10 patches cut from one gastric biopsy slide · ×20.
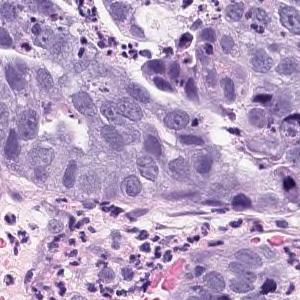
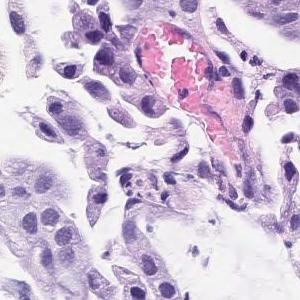
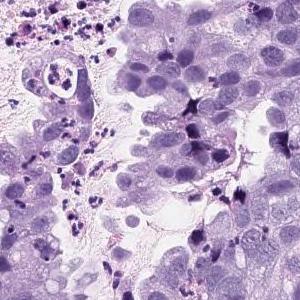
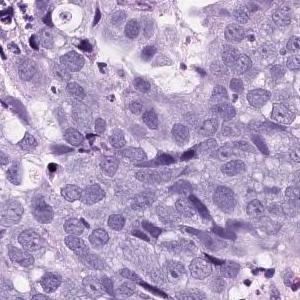
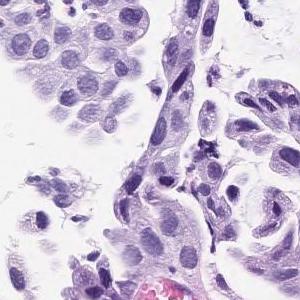
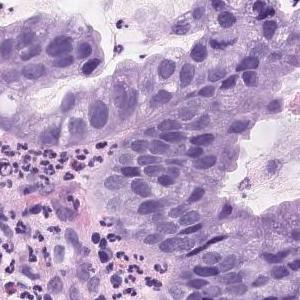
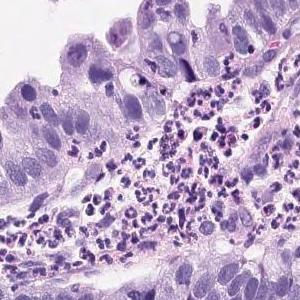
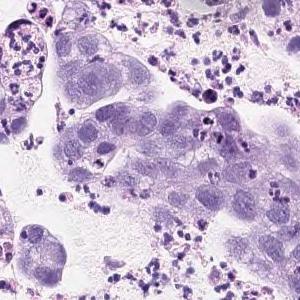
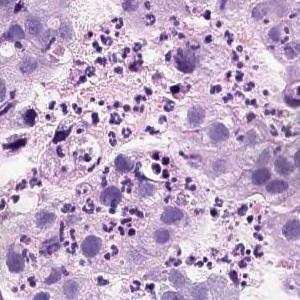
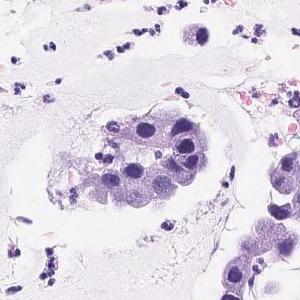
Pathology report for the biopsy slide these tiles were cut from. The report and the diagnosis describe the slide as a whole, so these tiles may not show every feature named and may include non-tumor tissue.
Atypical l cells with atypical nuclei forming solid or diffuse vesicles or small irregular atypical ducts and growing in a complex manner. Well differentiated tubular adenocarcinoma
